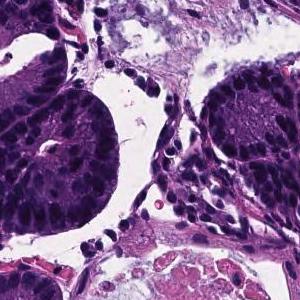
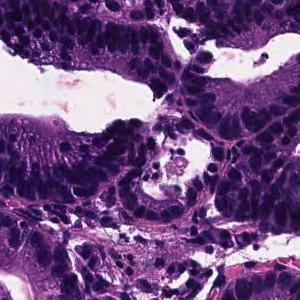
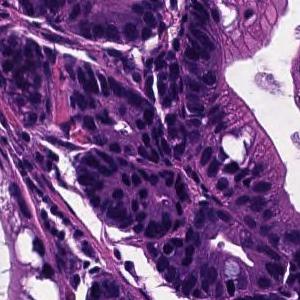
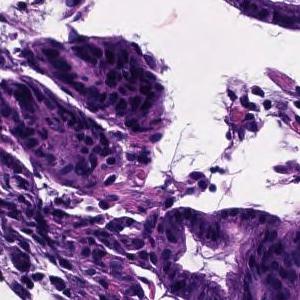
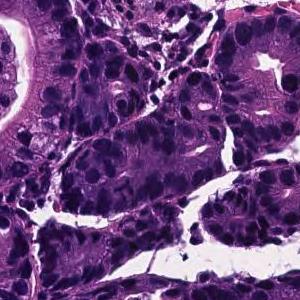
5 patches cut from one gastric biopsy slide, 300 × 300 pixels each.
Pathology report for the slide these tiles were cut from. The report and the diagnosis cover the entire slide, so not every feature they name need be visible here, and some tissue shown may not be tumor.
From the superficial epithelium to the muscularis mucosae, tumor tissue consisting of medium-sized and irregular glandular ducts infiltrating is observed. Well differentiated tubular adenocarcinoma
